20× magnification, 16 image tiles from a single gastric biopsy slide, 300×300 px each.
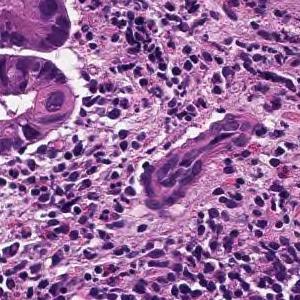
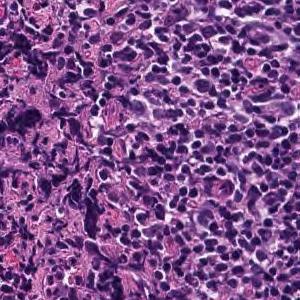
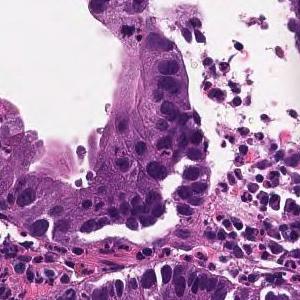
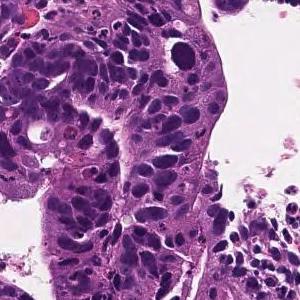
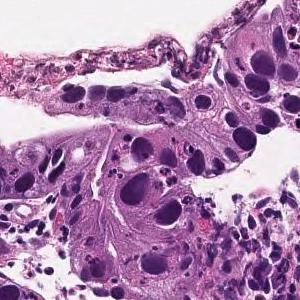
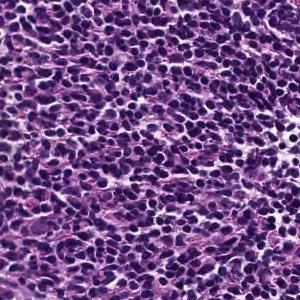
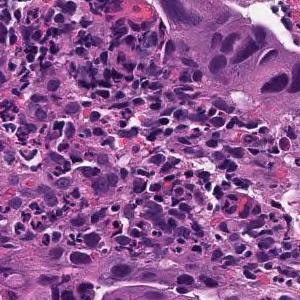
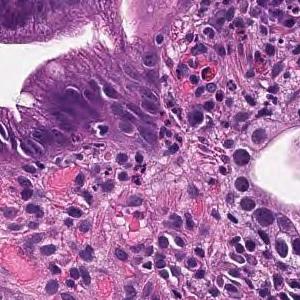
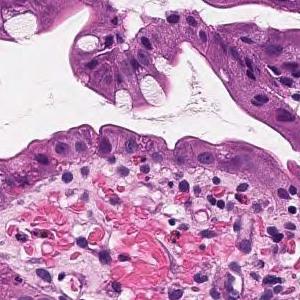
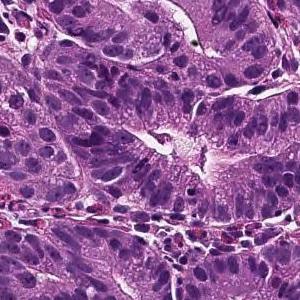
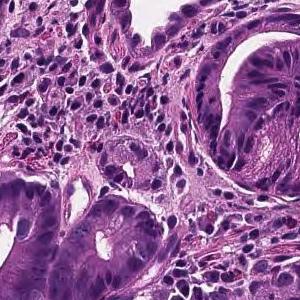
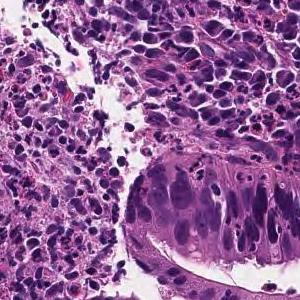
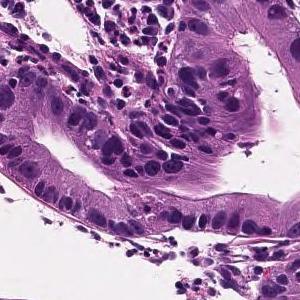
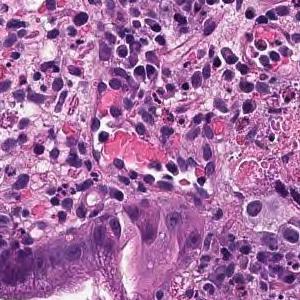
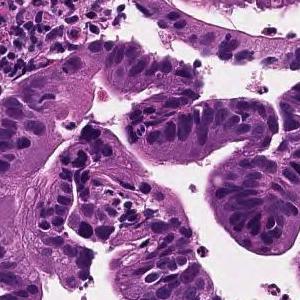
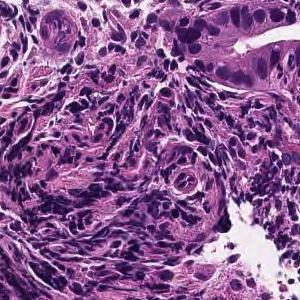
Pathology report for the biopsy slide these tiles were cut from. The report and the diagnosis cover the entire slide, so not every feature they name need be visible here, and some tissue shown may not be tumor.
From the superficial epithelium to the muscularis mucosae, tumor tissue consisting of medium-sized and irregular glandular ducts infiltrating is observed. Well differentiated tubular adenocarcinoma
